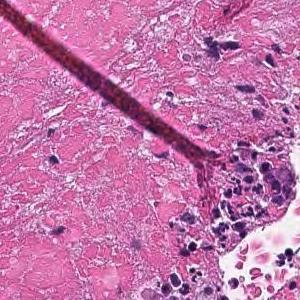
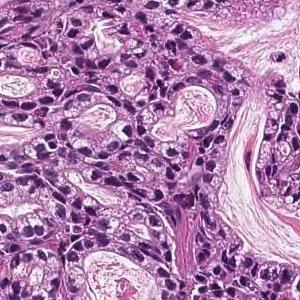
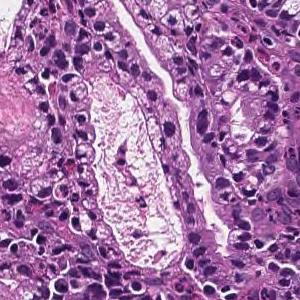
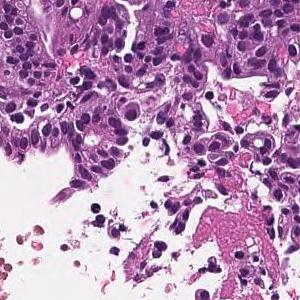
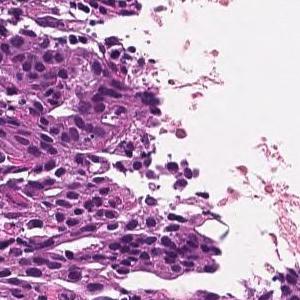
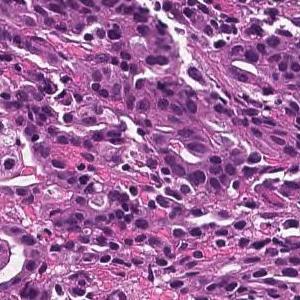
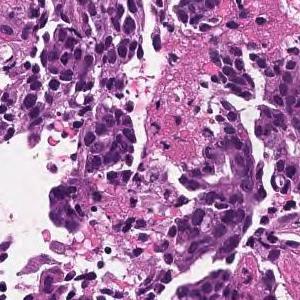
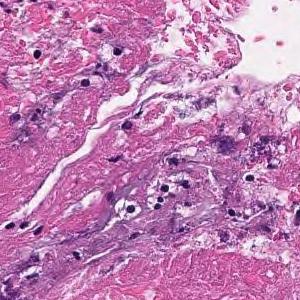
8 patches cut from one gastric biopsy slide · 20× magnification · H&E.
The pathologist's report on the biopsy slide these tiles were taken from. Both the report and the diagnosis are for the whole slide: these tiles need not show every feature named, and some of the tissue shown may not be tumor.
On the superficial epithelium, tumor tissue that infiltrates by forming medium-sized papillary or small irregular ducts is observed. Papillary adenocarcinoma
